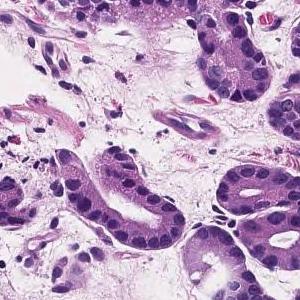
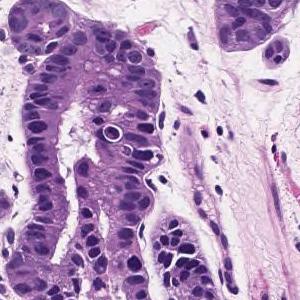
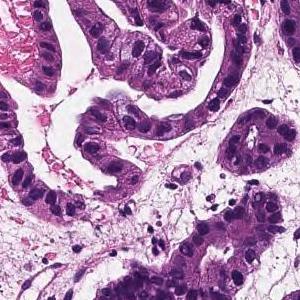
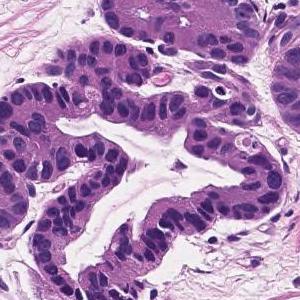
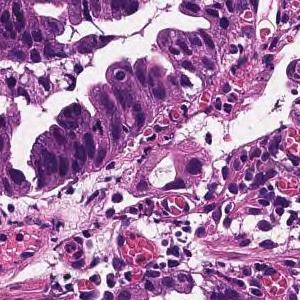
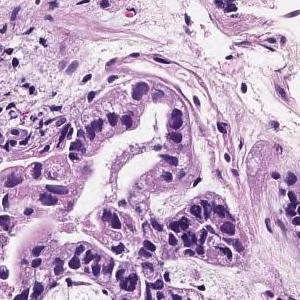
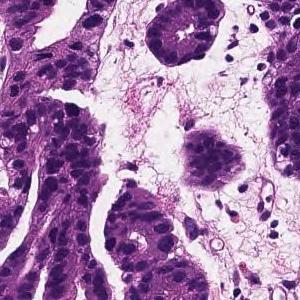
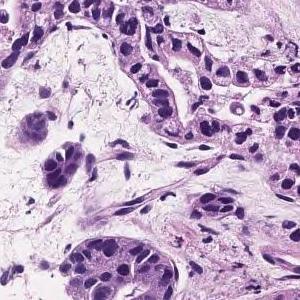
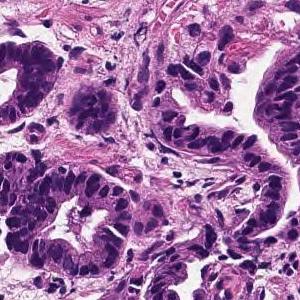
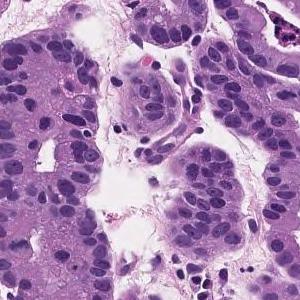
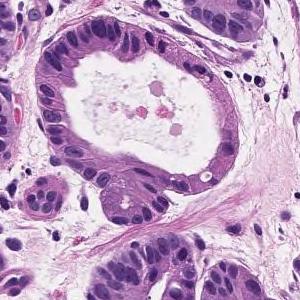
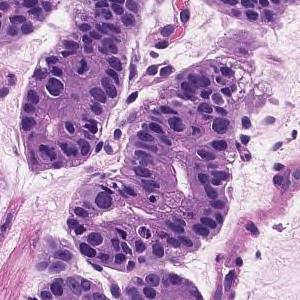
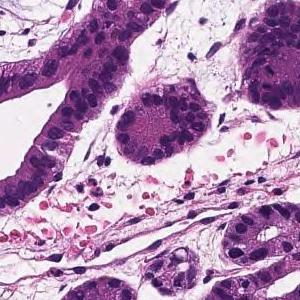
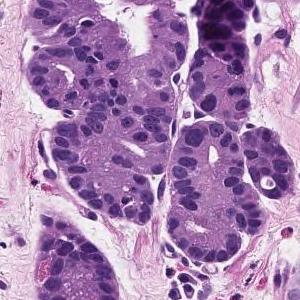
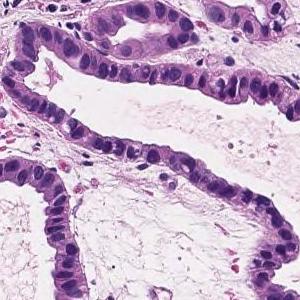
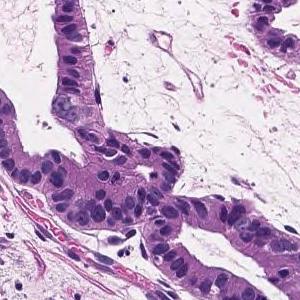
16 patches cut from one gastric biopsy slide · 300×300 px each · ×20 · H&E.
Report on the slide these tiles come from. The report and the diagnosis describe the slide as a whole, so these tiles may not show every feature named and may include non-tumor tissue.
Tumor cells are large, highly columnar, large club-shaped nuclei, and are associated with chromatin aggregation. Papillary adenocarcinoma.
